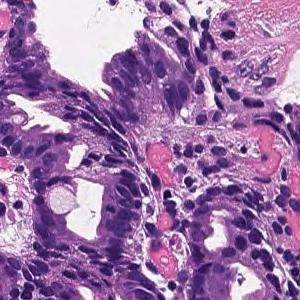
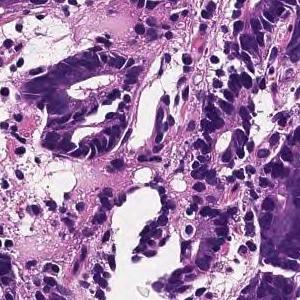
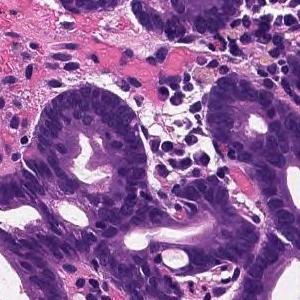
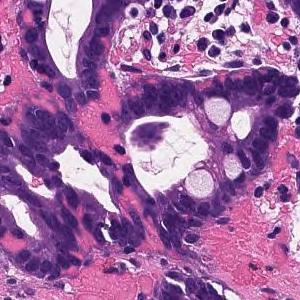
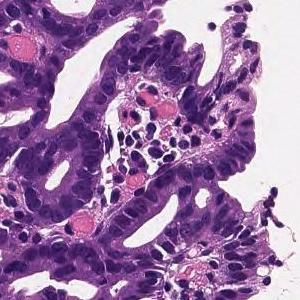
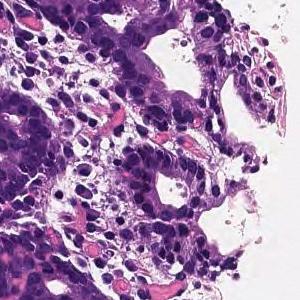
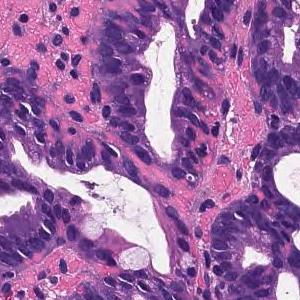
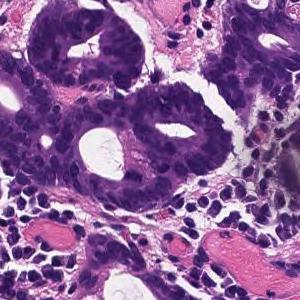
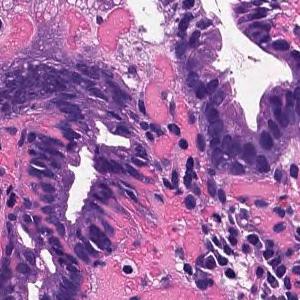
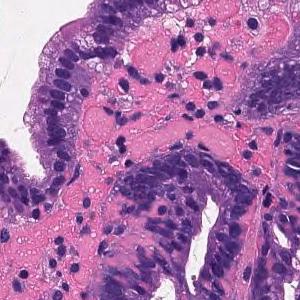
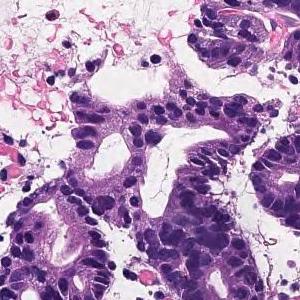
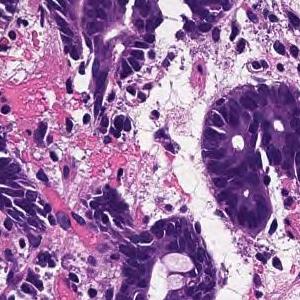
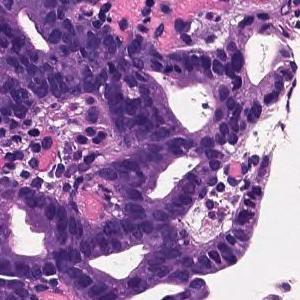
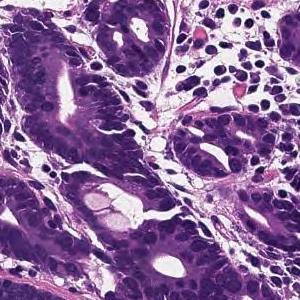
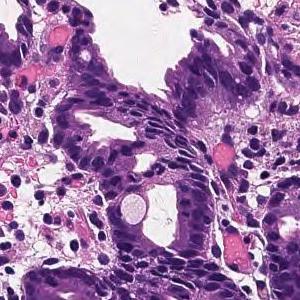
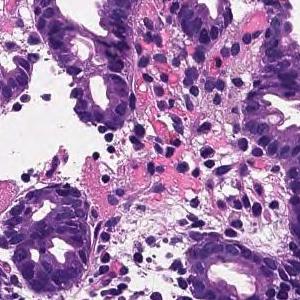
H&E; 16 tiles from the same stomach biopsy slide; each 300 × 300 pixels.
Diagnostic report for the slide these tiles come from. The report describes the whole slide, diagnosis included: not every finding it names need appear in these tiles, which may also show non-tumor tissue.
On the superficial epithelium, tumor tissue is found in which medium-sized irregular gland ducts fuse with each other and infiltrate. moderately differentiated tubular adenocarcinoma
